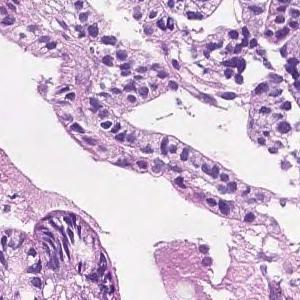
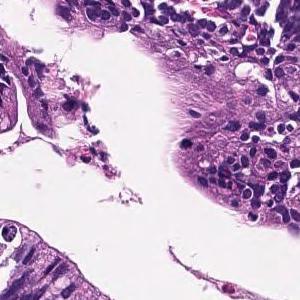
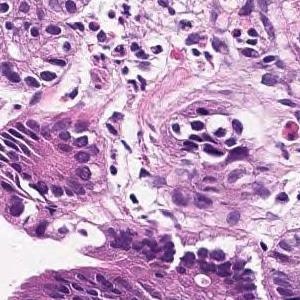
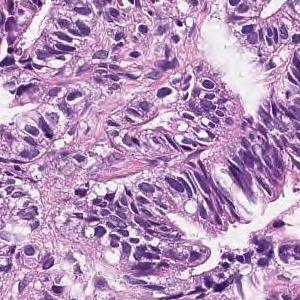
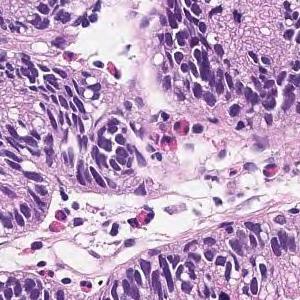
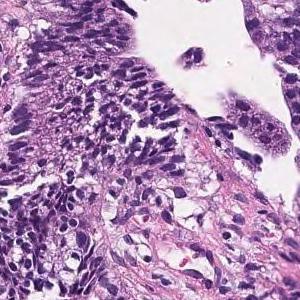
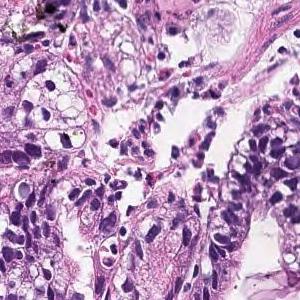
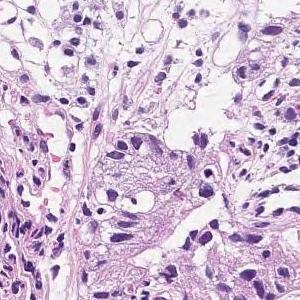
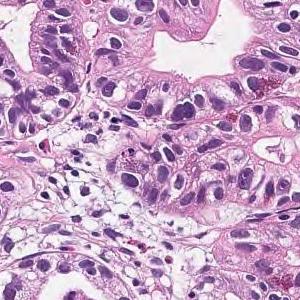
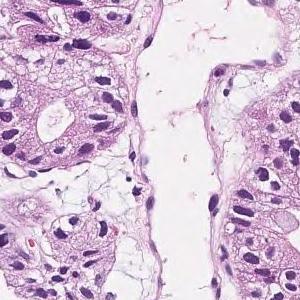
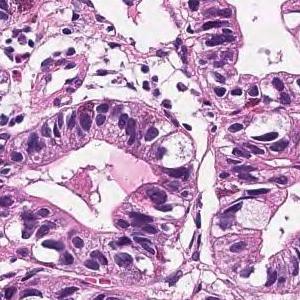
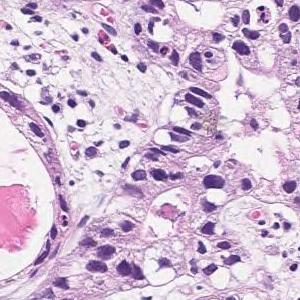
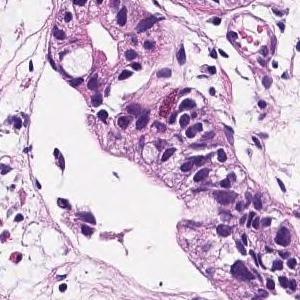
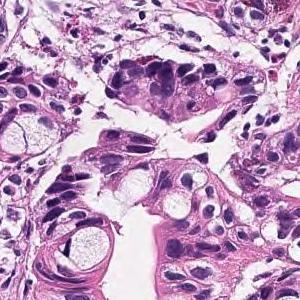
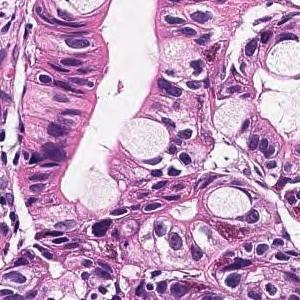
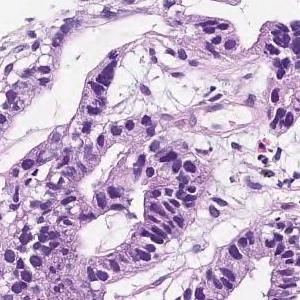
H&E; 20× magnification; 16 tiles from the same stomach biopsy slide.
The pathologist's report on the biopsy slide these tiles were taken from. The findings and the diagnosis refer to the entire slide; these tiles show only part of it, possibly with non-tumor tissue, and may not show every feature named.
In the superficial epithelium, tumor tissue that invades by forming medium-sized to small, irregular ducts is observed. Moderately differentiated adenocarcinoma.
Histologic type: Moderately differentiated tubular adenocarcinoma.
